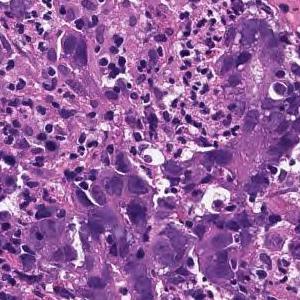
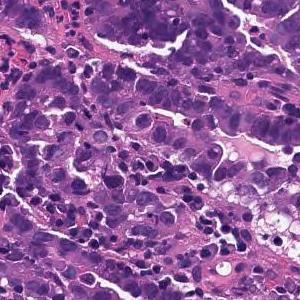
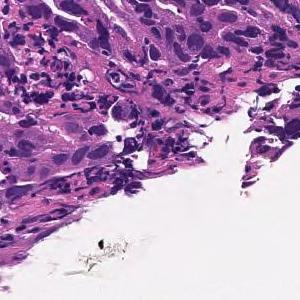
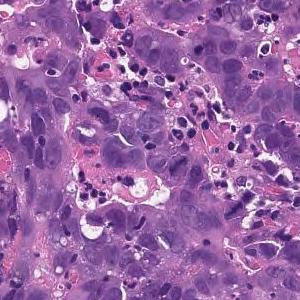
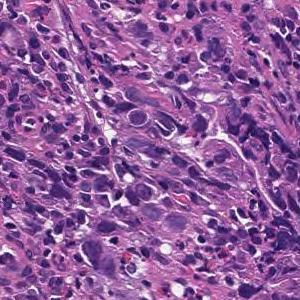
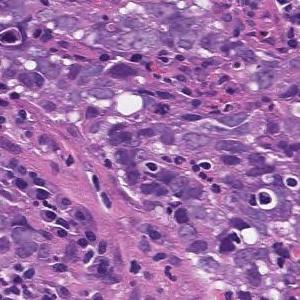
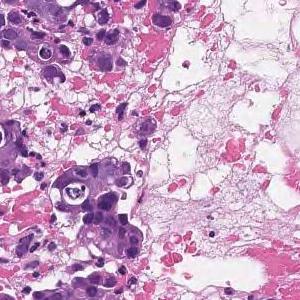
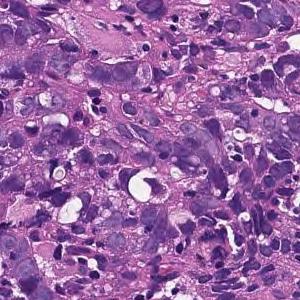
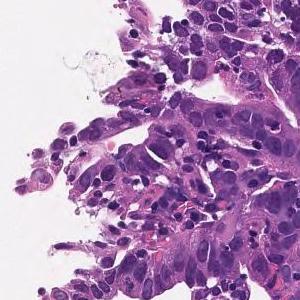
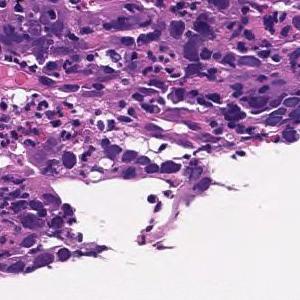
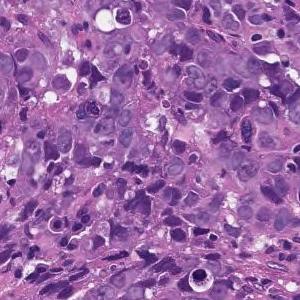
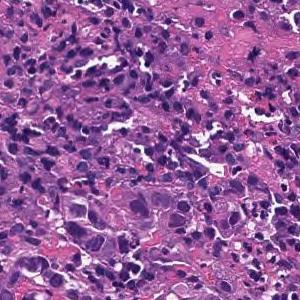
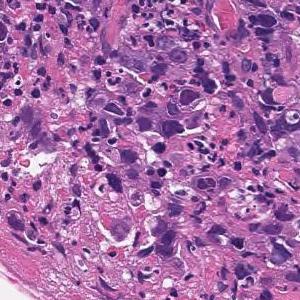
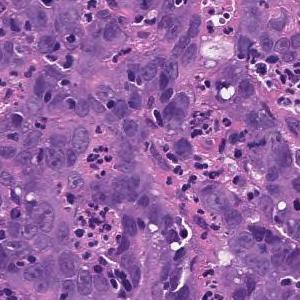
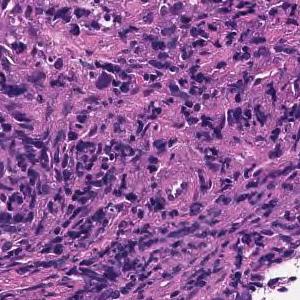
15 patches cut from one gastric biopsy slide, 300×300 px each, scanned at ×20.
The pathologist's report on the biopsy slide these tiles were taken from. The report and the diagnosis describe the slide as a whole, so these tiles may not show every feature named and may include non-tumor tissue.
Tumor tissue consisting of cord-like or small, irregular glandular ducts fused and infiltrated is observed in the superficial epithelium. Poorly differentiated adenocarcinoma, non-solid type
"Non-solid type" is a category of the Japanese Classification of Gastric Carcinoma.
